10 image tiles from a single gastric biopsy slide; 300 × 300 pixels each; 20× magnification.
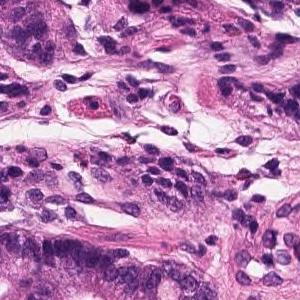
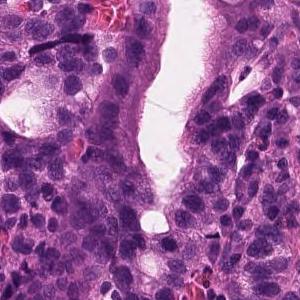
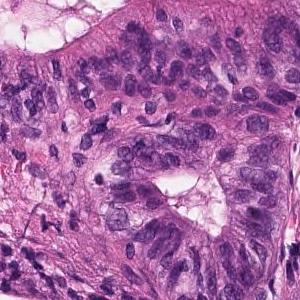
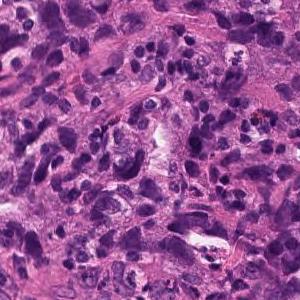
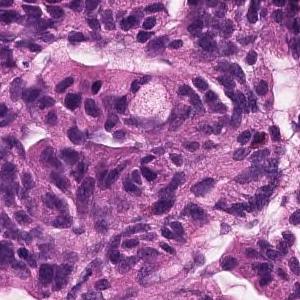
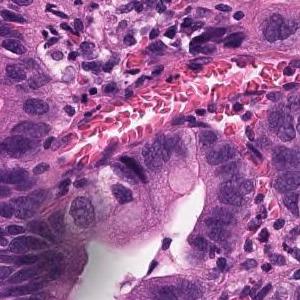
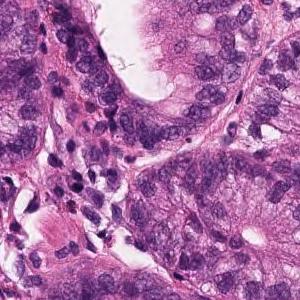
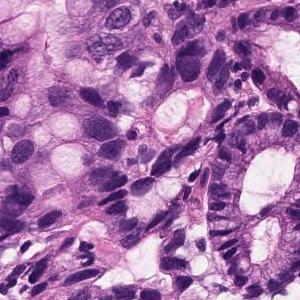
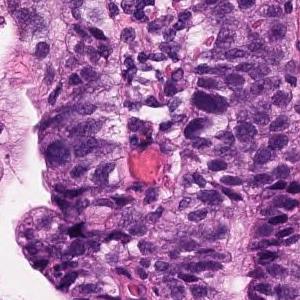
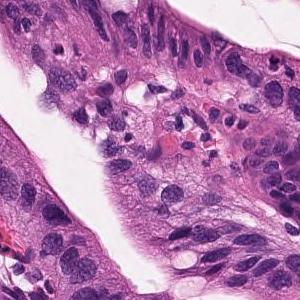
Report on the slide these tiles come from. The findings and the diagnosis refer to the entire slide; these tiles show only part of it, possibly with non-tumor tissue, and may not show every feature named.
In the superficial epithelium, tumor tissue that invades by forming medium-sized to small, irregular ducts is observed. Moderately differentiated adenocarcinoma.
Classified as moderately differentiated tubular adenocarcinoma.
